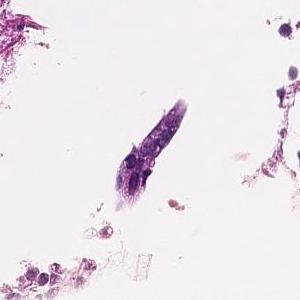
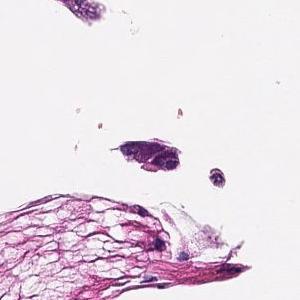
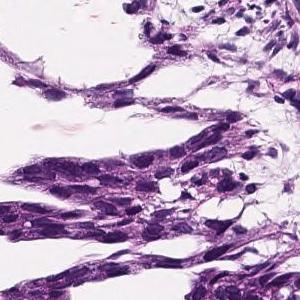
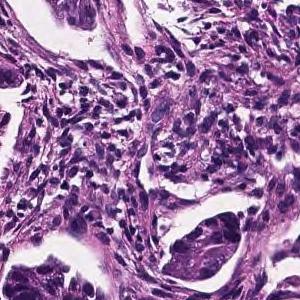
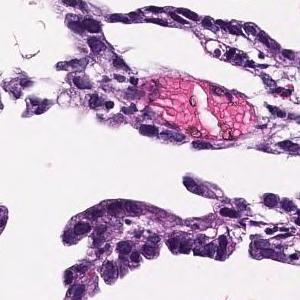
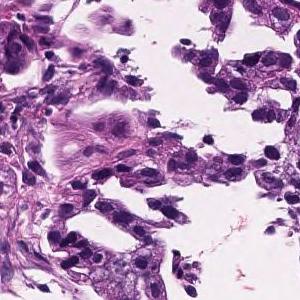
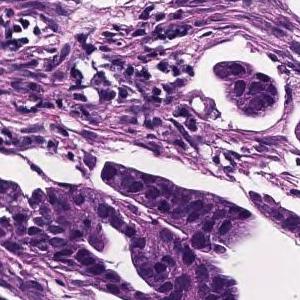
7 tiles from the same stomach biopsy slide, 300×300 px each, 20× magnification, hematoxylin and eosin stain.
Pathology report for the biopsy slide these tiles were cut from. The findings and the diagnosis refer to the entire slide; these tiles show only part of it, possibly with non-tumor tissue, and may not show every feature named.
In the lamina propria, tumor tissue that invades by forming medium-sized to small, irregular glandular ducts is observed. moderately differentiated tubular adenocarcinoma
